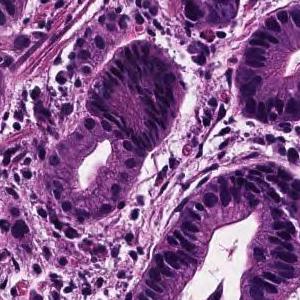
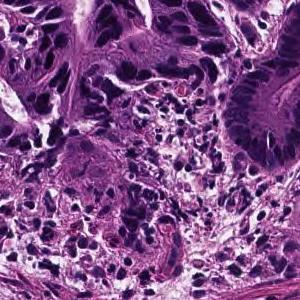
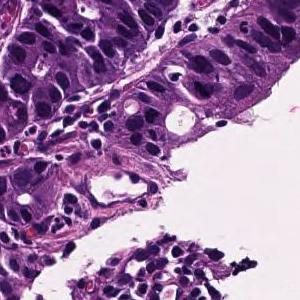
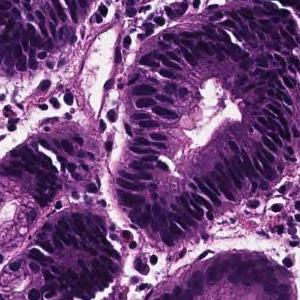
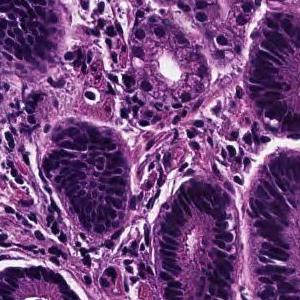
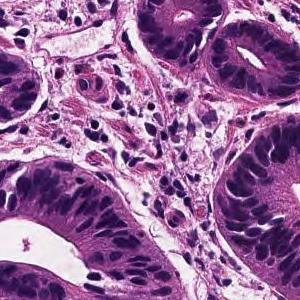
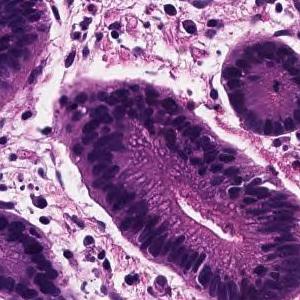
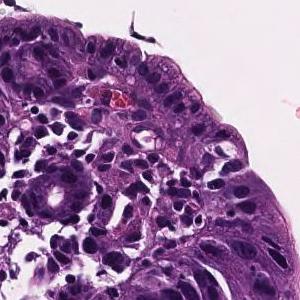
×20; 8 tiles cut from one stomach biopsy slide; 300 × 300 pixels each.
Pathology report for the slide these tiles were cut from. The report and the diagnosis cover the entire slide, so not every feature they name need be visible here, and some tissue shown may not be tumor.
From the superficial epithelium to the muscularis mucosae, tumor tissue consisting of medium-sized and irregular glandular ducts infiltrating is observed. Well differentiated tubular adenocarcinoma
